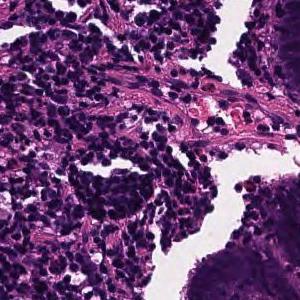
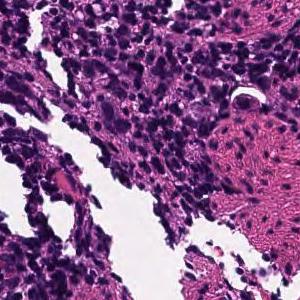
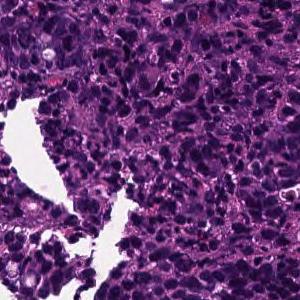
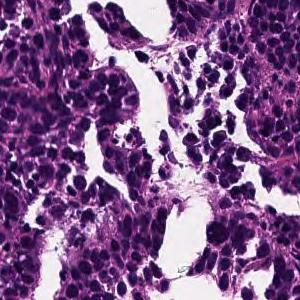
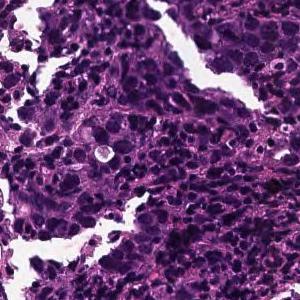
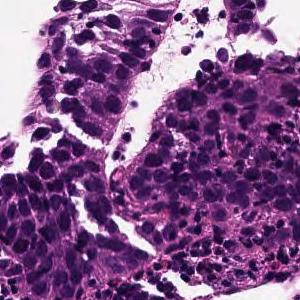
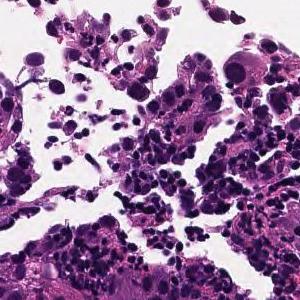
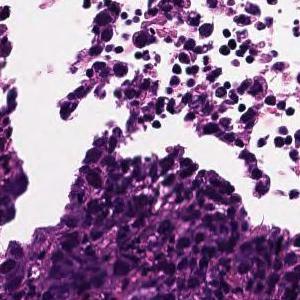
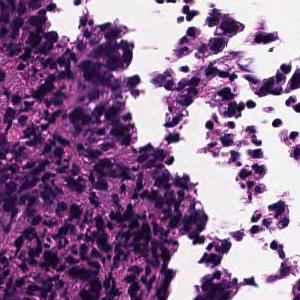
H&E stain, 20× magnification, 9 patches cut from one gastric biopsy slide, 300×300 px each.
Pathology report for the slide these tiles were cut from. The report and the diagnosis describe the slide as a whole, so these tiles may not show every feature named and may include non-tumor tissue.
Tumor tissue consisting of cord-like or small, irregular glandular ducts fused and infiltrated is observed in the superficial epithelium. Poorly differentiated adenocarcinoma, non-solid type
The non-solid type named here is a Japanese Classification of Gastric Carcinoma category.
